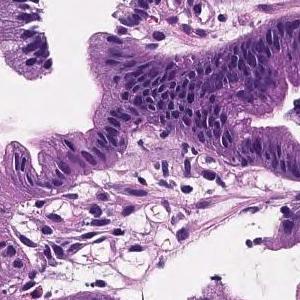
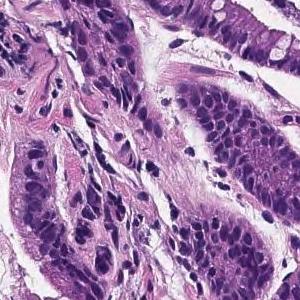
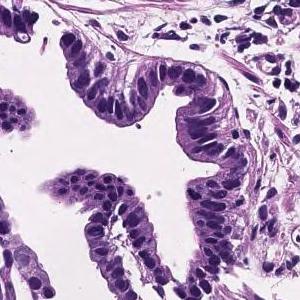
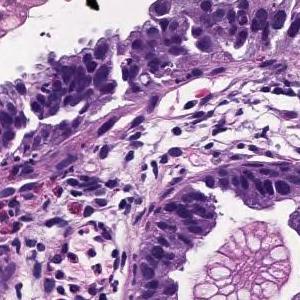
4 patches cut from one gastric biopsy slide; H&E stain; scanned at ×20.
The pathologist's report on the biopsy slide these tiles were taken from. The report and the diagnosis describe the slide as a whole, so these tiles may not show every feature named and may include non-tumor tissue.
Tumor cells are large, highly columnar, large club-shaped nuclei, and are associated with chromatin aggregation. Papillary adenocarcinoma.
